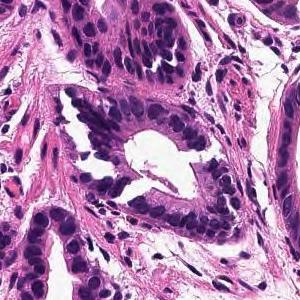
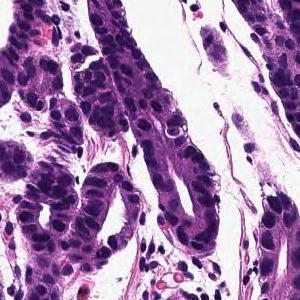
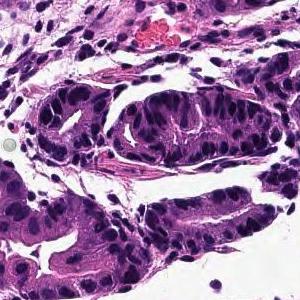
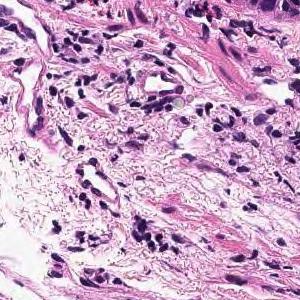
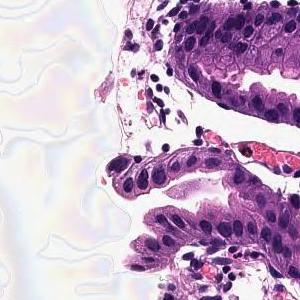
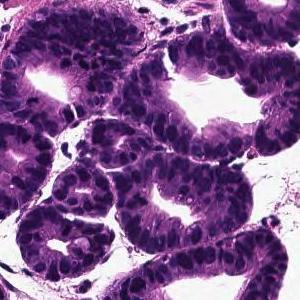
6 patches cut from one gastric biopsy slide, H&E stain.
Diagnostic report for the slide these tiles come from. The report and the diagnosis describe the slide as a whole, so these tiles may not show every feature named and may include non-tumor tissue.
From the superficial epithelium to the muscularis mucosae, tumor tissue consisting of medium-sized and irregular glandular ducts infiltrating is observed. Well differentiated tubular adenocarcinoma
